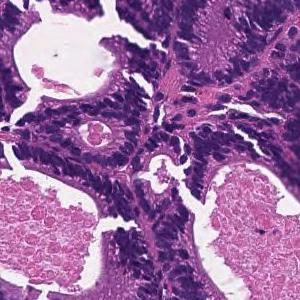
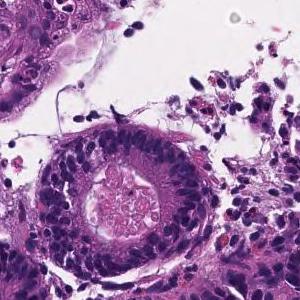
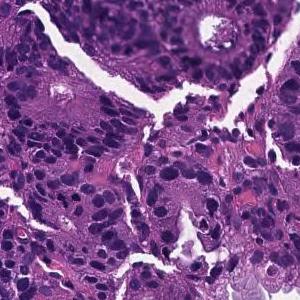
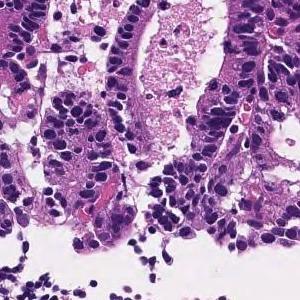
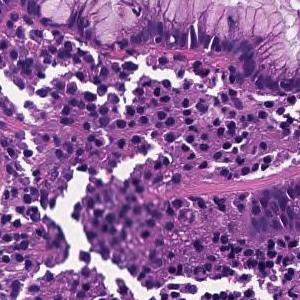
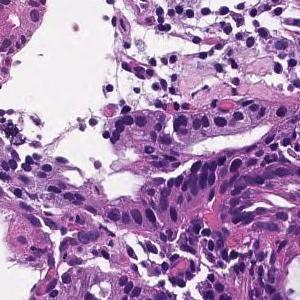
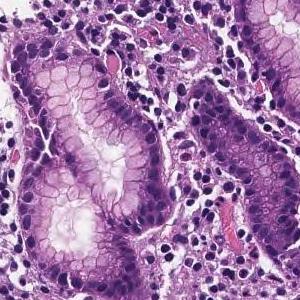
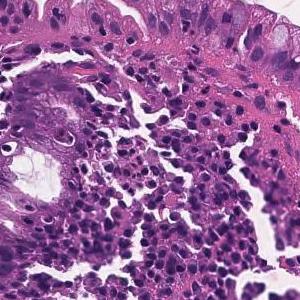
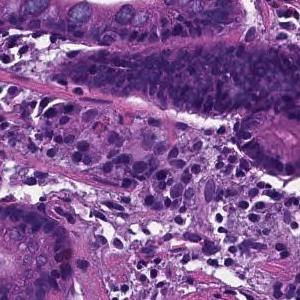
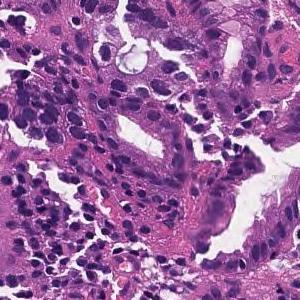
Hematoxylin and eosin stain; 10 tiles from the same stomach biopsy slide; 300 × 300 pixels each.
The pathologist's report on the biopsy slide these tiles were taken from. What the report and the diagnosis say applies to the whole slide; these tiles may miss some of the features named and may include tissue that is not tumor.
From the superficial epithelium to the muscularis mucosae, tumor tissue consisting of medium-sized and irregular glandular ducts infiltrating is observed. Well differentiated tubular adenocarcinoma
